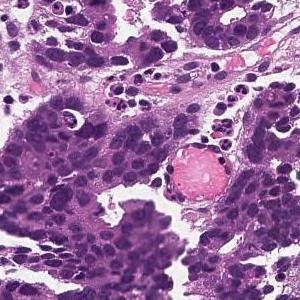
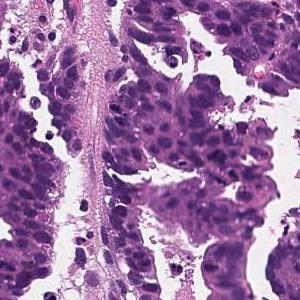
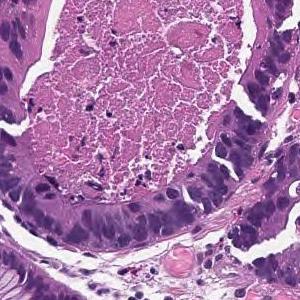
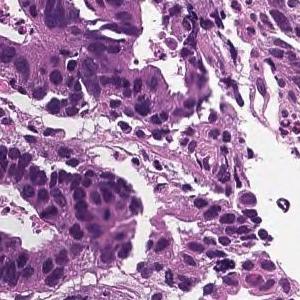
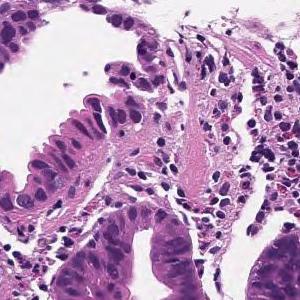
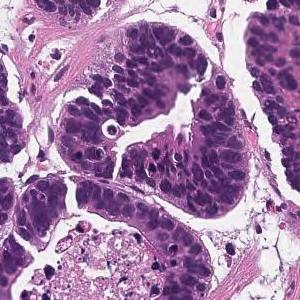
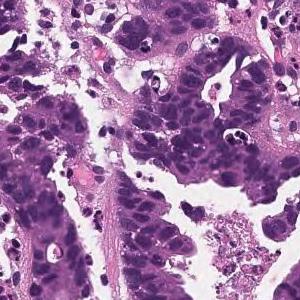
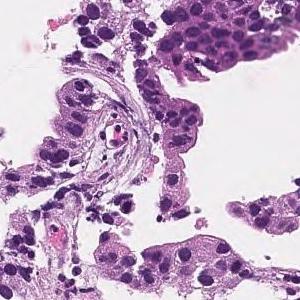
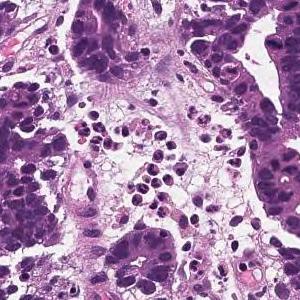
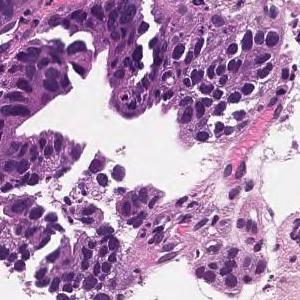
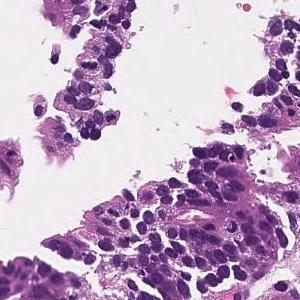
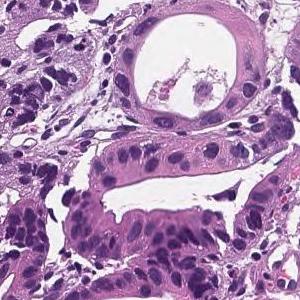
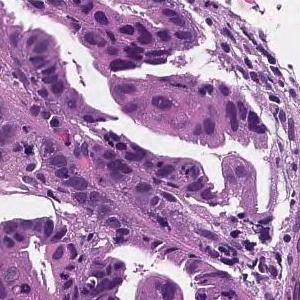
H&E; 13 tiles from the same stomach biopsy slide; 300 × 300 pixels each.
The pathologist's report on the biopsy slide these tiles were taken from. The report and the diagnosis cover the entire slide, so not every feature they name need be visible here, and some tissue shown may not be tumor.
In the superficial epithelium, tumor tissue that invades by forming medium-sized to small, irregular ducts is observed. moderately differentiated tubular adenocarcinoma.
